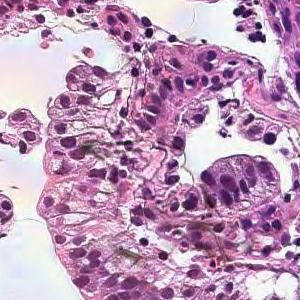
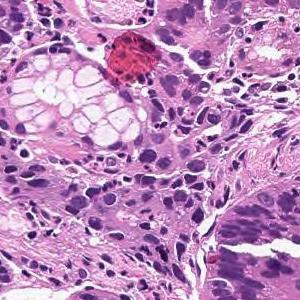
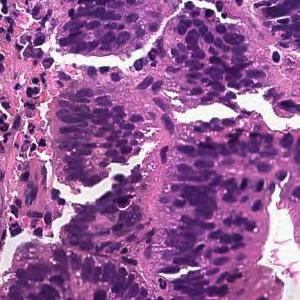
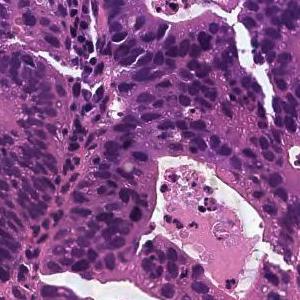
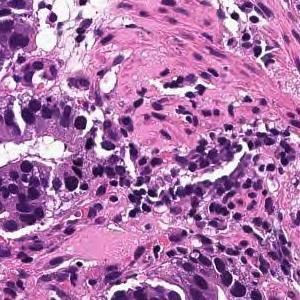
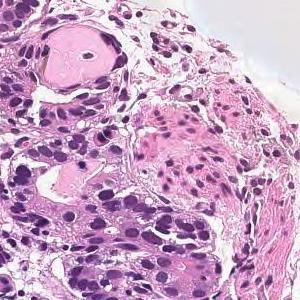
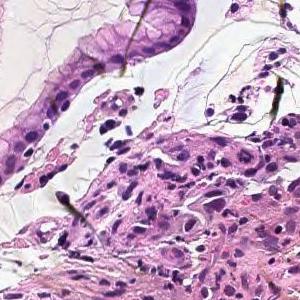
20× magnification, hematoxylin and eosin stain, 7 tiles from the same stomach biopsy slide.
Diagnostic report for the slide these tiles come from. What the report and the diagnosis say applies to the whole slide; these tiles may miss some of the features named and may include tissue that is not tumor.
On the superficial epithelium, tumor tissue consisting of large irregular glandular ducts partially fused and infiltrated is observed. Well to moderately differentiated tubular adenocarcinoma (well differentiated tubular adenocarcinoma, moderately differentiated tubular adenocarcinoma)
Classified as well to moderately differentiated tubular adenocarcinoma.
